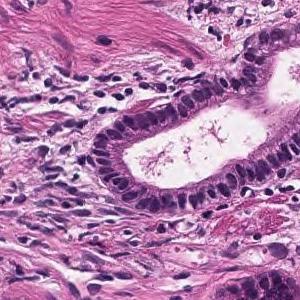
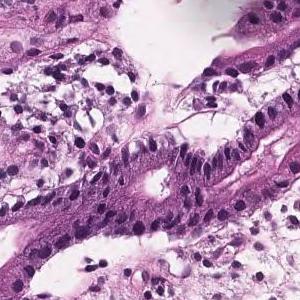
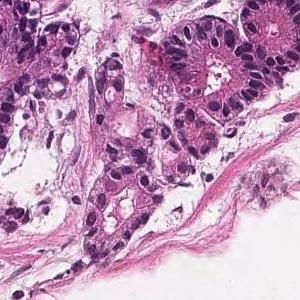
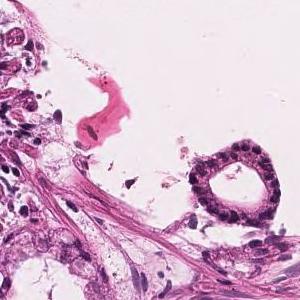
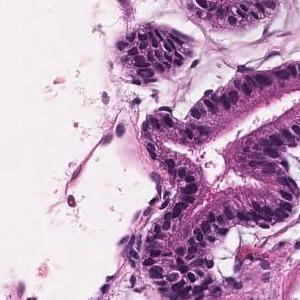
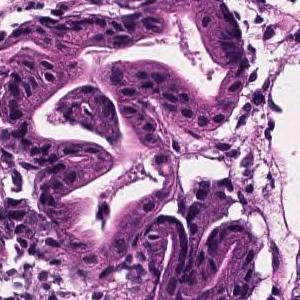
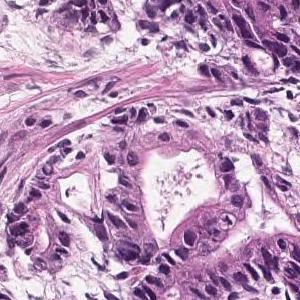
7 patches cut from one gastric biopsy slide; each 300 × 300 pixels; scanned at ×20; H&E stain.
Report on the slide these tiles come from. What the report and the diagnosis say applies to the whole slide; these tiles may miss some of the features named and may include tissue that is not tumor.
Tumor tissue with atypical epithelium showing irregular ductal or sieving ductal structure and proliferating is observed. Well to moderately differentiated tubular adenocarcinoma (well differentiated tubular adenocarcinoma-moderately differentiated tubular adenocarcinoma)
Histologic type: Well to moderately differentiated tubular adenocarcinoma.
